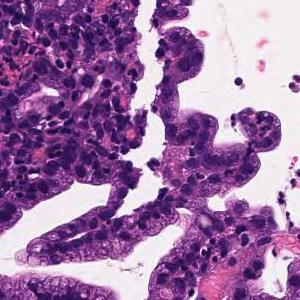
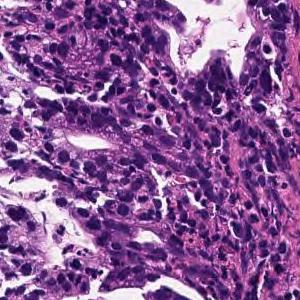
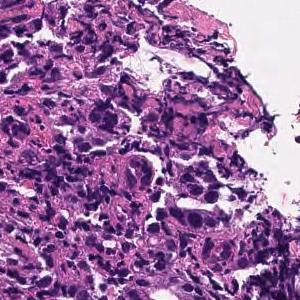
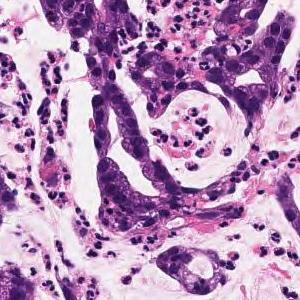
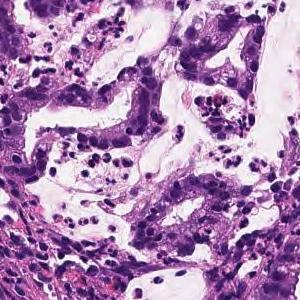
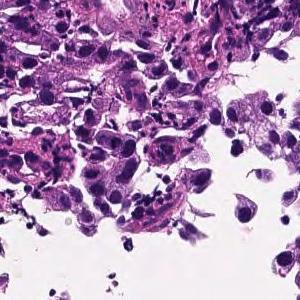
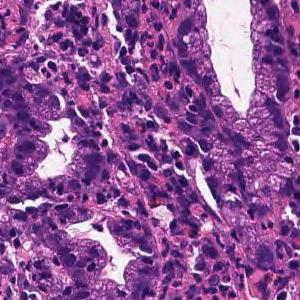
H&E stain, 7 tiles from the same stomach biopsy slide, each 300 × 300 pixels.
Pathology report for the slide these tiles were cut from. The report and the diagnosis cover the entire slide, so not every feature they name need be visible here, and some tissue shown may not be tumor.
On the superficial epithelium, tumor tissue consisting of large, irregular glandular ducts partially fused and infiltrated is observed. Well to moderately differentiated tubular adenocarcinoma (well differentiated tubular adenocarcinoma, moderately differentiated tubular adenocarcinoma)
Tumor subtype: well to moderately differentiated tubular adenocarcinoma.
